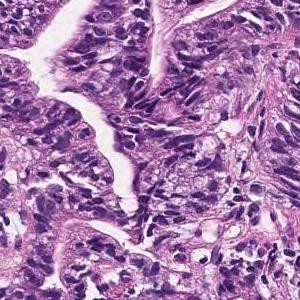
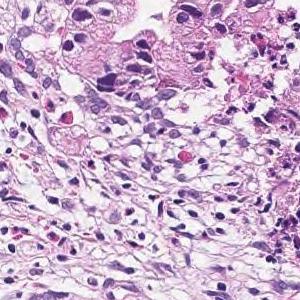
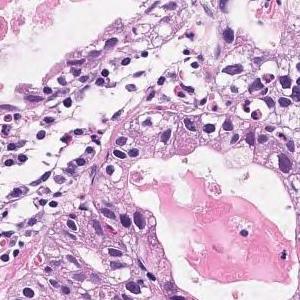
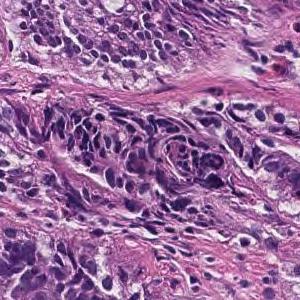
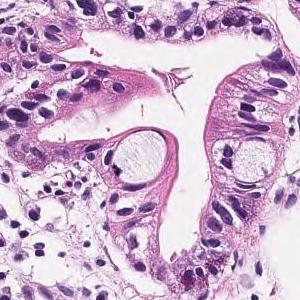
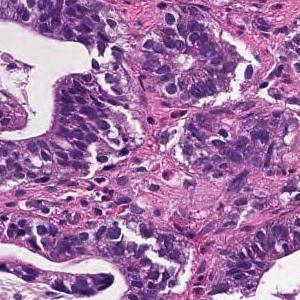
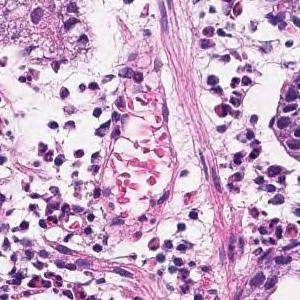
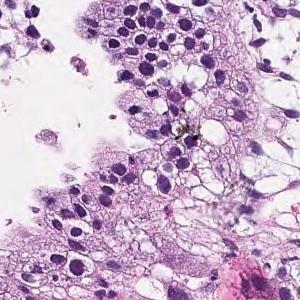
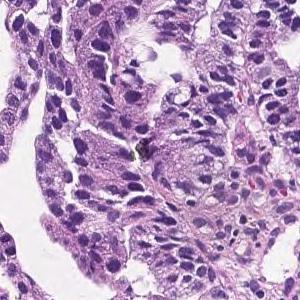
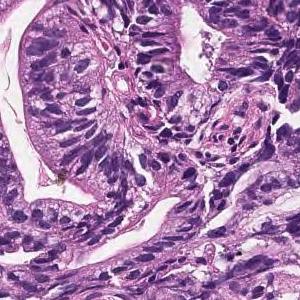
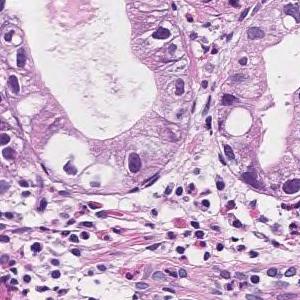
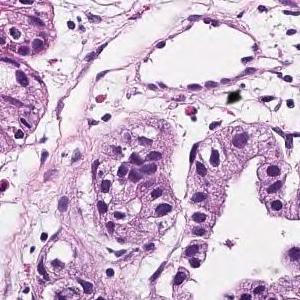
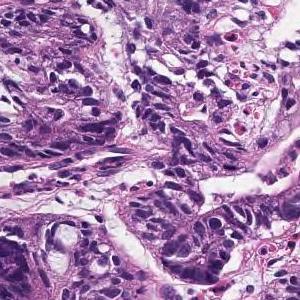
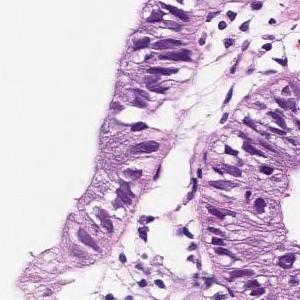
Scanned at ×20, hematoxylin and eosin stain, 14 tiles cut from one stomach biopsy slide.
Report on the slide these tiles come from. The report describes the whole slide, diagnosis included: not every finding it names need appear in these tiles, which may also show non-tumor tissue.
In the superficial epithelium, tumor tissue that invades by forming medium-sized to small, irregular ducts is observed. Moderately differentiated adenocarcinoma.
Histological subtype: Moderately differentiated tubular adenocarcinoma.
